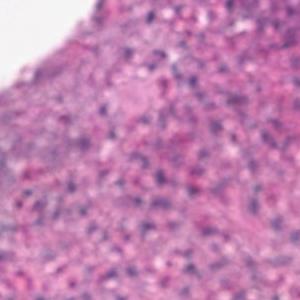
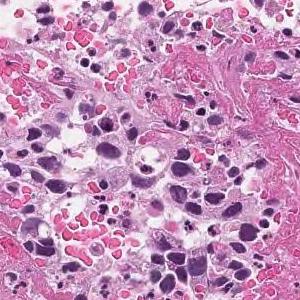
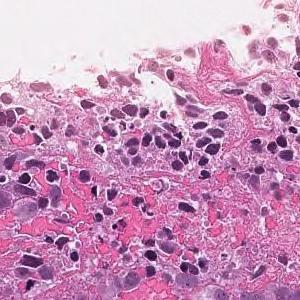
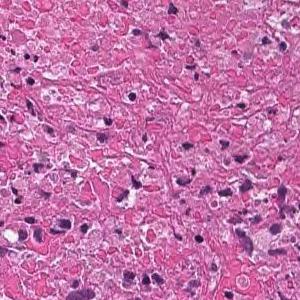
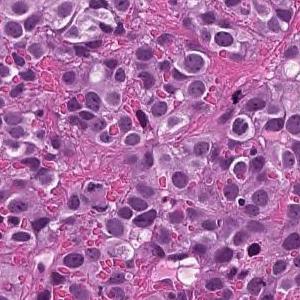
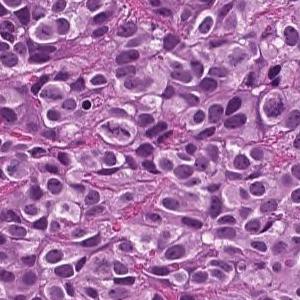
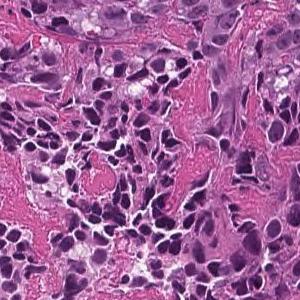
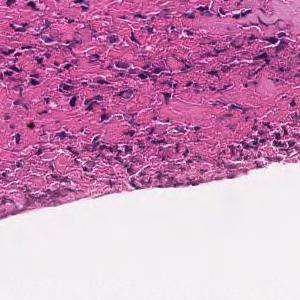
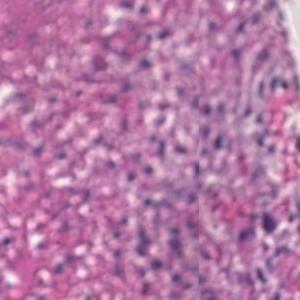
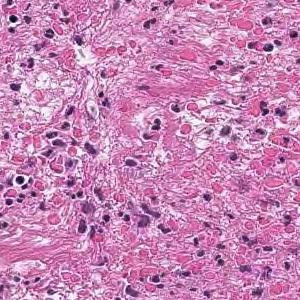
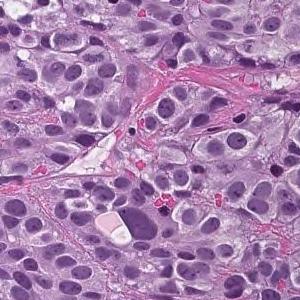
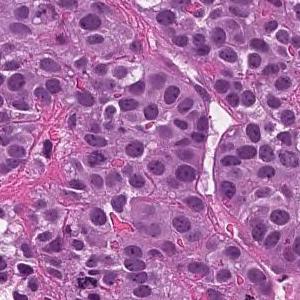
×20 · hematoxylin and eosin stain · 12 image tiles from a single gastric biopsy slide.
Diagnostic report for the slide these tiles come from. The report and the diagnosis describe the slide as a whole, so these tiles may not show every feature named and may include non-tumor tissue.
The superficial epithelium shows a large sheet-like shape, and some tumor tissue infiltrates with small irregular ducts. Poorly differentiated adenocarcinoma, solid-type
Subtype: Poorly differentiated adenocarcinoma, solid type. This name comes from the Japanese Classification of Gastric Carcinoma; the WHO 2019 classification calls it tubular adenocarcinoma, poorly differentiated.
